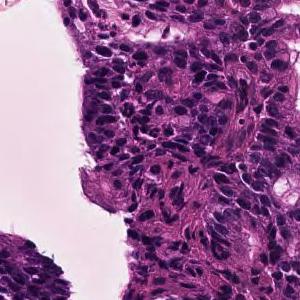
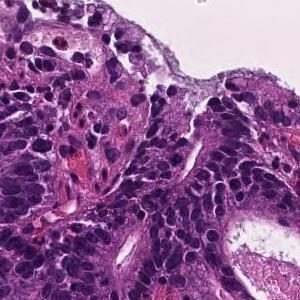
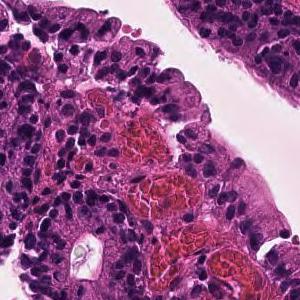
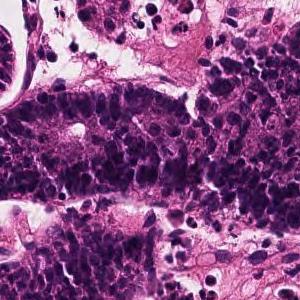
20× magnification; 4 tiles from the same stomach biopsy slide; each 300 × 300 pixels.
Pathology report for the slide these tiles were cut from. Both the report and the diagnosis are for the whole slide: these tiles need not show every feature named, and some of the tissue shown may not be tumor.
In the superficial epithelium, tumor tissue that invades by forming medium-sized to small, irregular ducts is observed. moderately differentiated tubular adenocarcinoma.
